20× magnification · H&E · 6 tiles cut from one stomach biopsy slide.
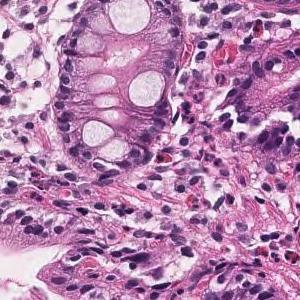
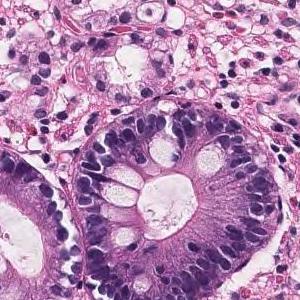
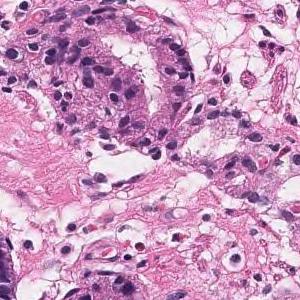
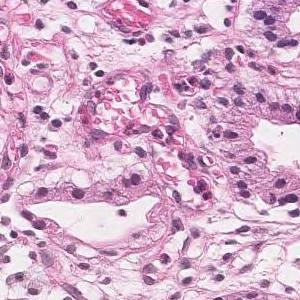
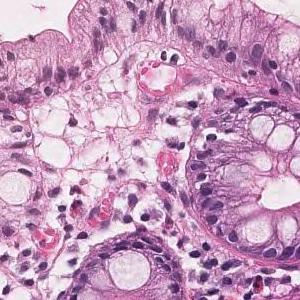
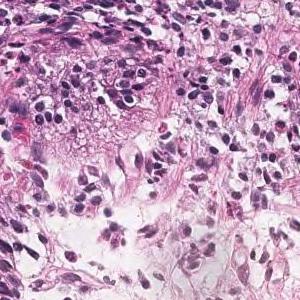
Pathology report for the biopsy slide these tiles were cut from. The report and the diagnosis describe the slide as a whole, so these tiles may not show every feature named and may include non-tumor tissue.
On the superficial epithelium, tumor tissue consisting of large, irregular glandular ducts partially fused and infiltrated is observed. Well differentiated tubular adenocarcinoma
